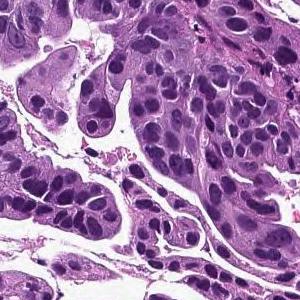
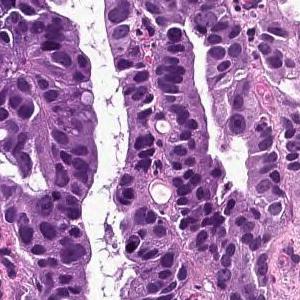
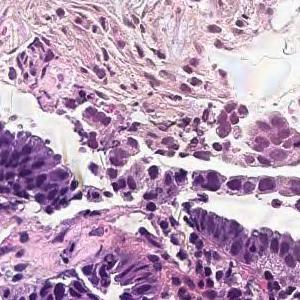
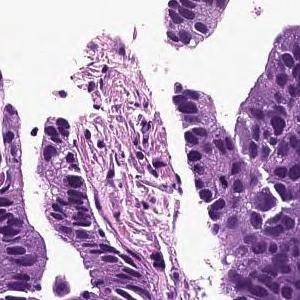
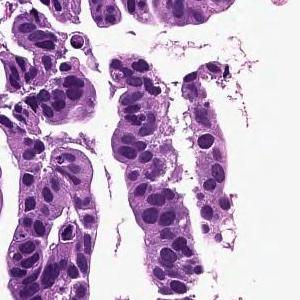
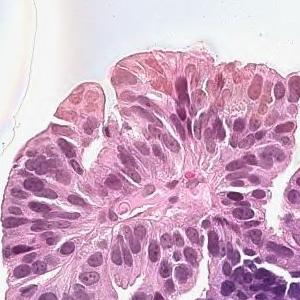
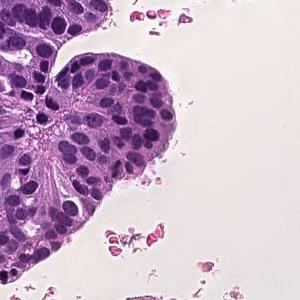
×20 · 7 tiles cut from one stomach biopsy slide · 300×300 px each.
Diagnostic report for the slide these tiles come from. Both the report and the diagnosis are for the whole slide: these tiles need not show every feature named, and some of the tissue shown may not be tumor.
Tumor cells are large, highly columnar, large club-shaped nuclei, and are associated with chromatin aggregation. Papillary adenocarcinoma.
